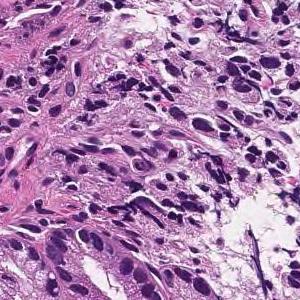
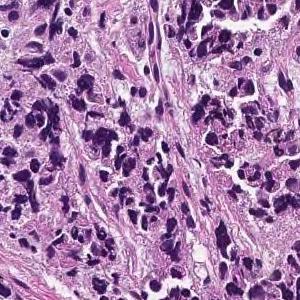
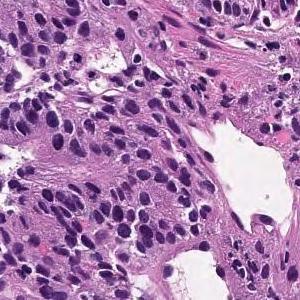
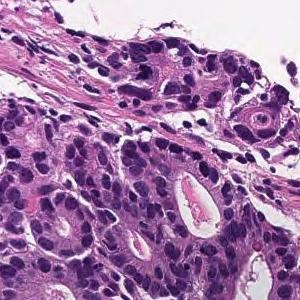
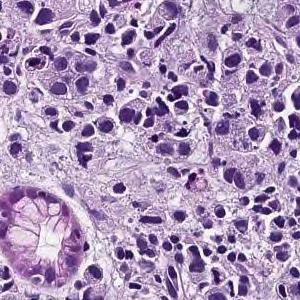
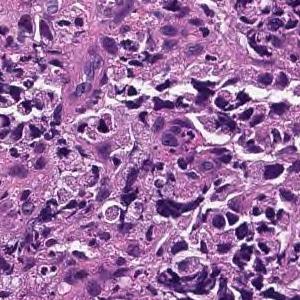
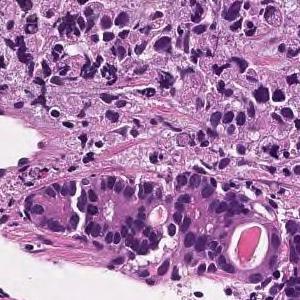
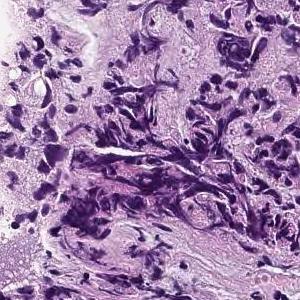
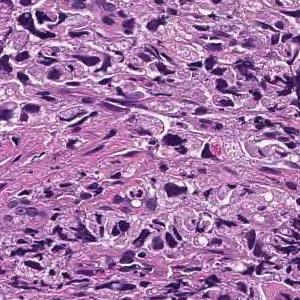
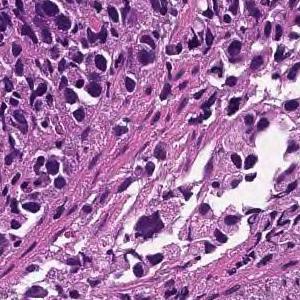
H&E, 20× magnification, 10 patches cut from one gastric biopsy slide.
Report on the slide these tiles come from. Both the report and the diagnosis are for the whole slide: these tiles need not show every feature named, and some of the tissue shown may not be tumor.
The lamina propria shows small cord-like tumor tissue that infiltrates with fibrosis and marked chronic inflammatory cell infiltration. Poorly differentiated adenocarcinoma, non-solid type
The term "non-solid type" comes from the Japanese Classification of Gastric Carcinoma.
